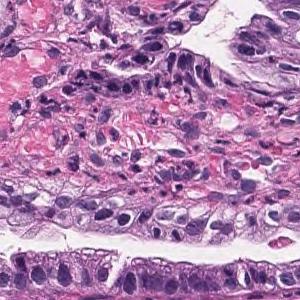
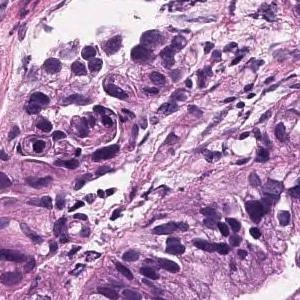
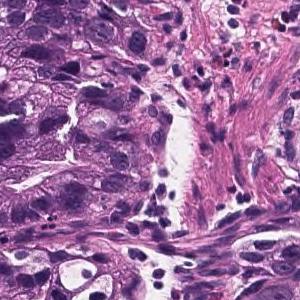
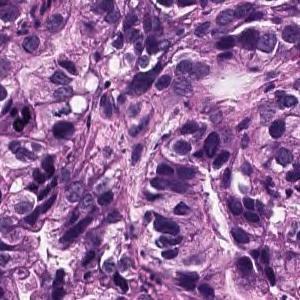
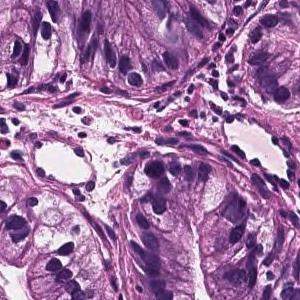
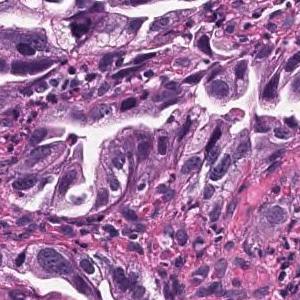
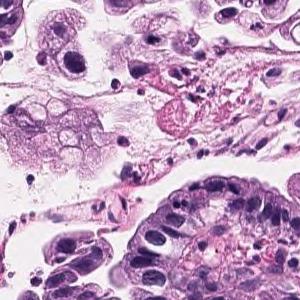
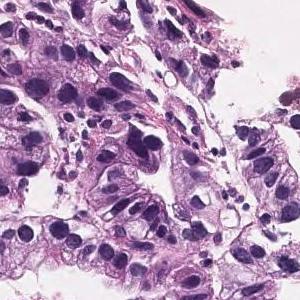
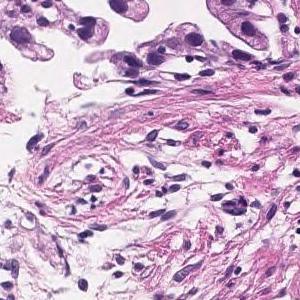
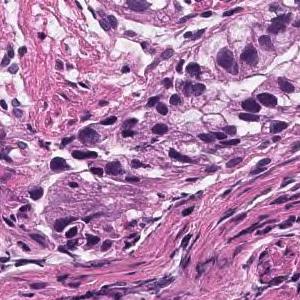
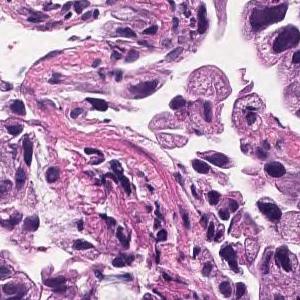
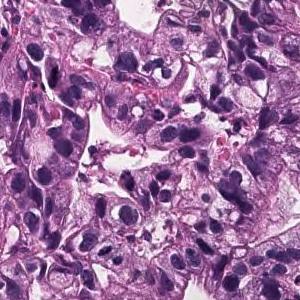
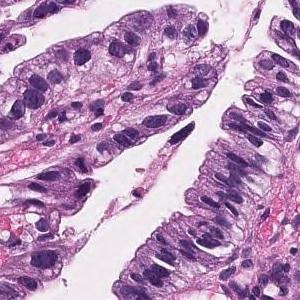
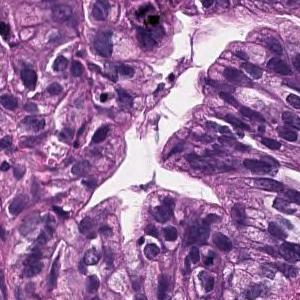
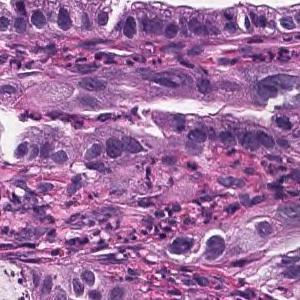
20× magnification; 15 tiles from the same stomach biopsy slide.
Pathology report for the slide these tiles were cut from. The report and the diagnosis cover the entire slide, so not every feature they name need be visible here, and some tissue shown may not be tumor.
Tumor cells are large, highly columnar, large club-shaped nuclei, and are associated with chromatin aggregation. Papillary adenocarcinoma.
